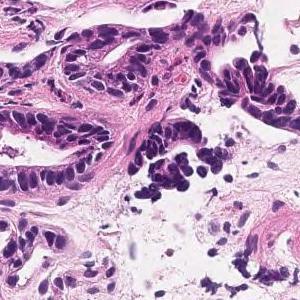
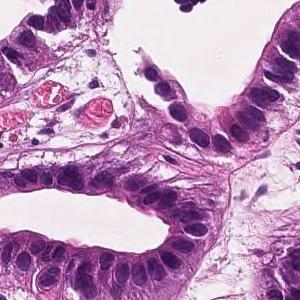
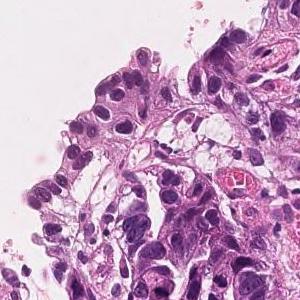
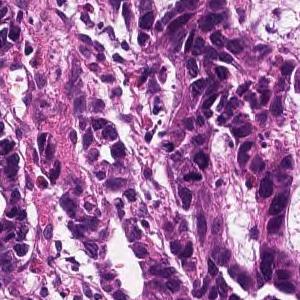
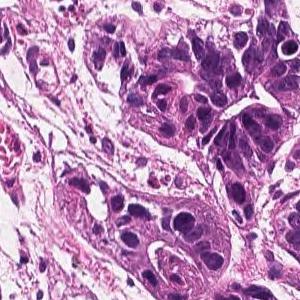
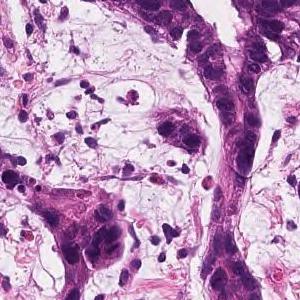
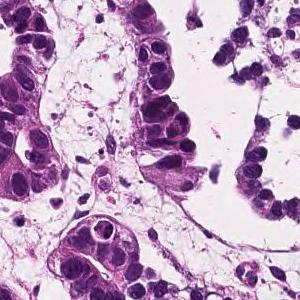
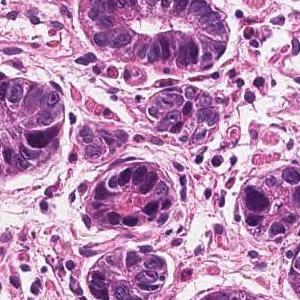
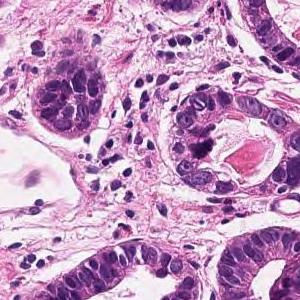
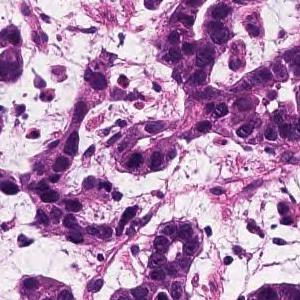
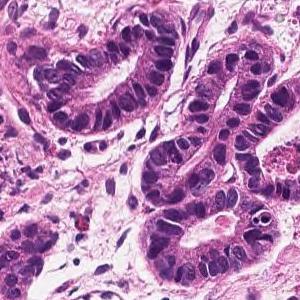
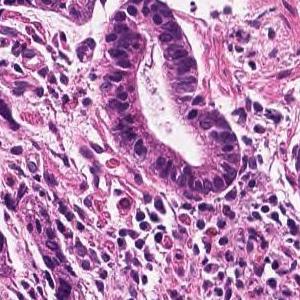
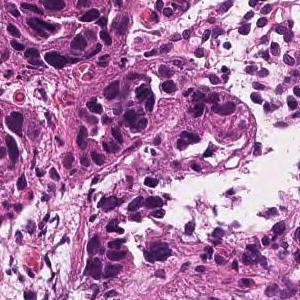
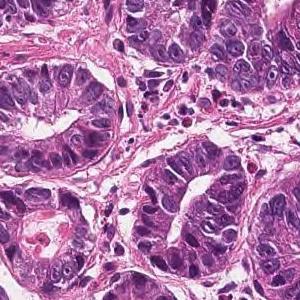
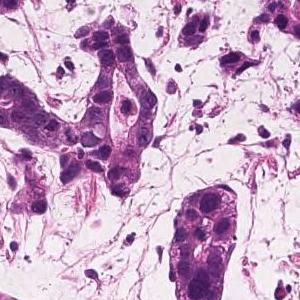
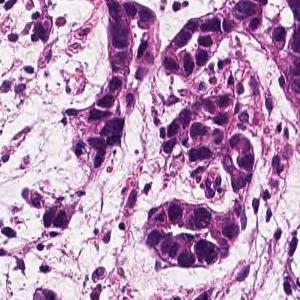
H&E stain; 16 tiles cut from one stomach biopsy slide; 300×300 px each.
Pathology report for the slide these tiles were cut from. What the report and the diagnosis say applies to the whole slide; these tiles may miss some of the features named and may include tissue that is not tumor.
In the superficial epithelium, tumor tissue that invades by forming medium-sized to small, irregular ducts is observed. Well differentiated tubular adenocarcinoma.
